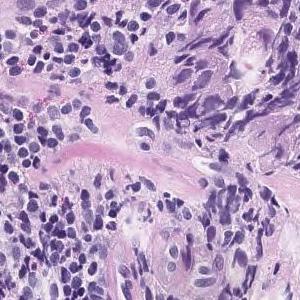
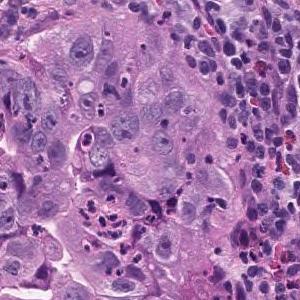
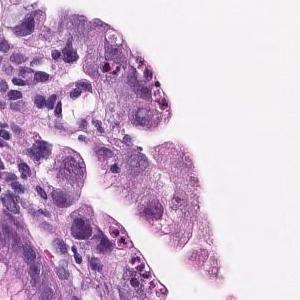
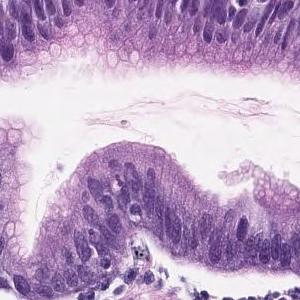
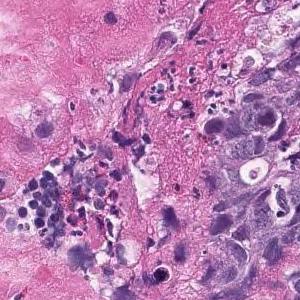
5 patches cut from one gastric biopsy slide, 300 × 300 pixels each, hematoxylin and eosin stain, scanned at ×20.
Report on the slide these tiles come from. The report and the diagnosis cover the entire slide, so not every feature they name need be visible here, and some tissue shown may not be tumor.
Atypical epithelium replaces superficial epithelium or localized ducts, or grows while forming irregular ducts. Well differentiated tubular adenocarcinoma
